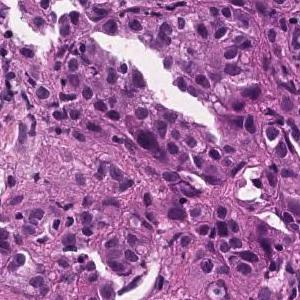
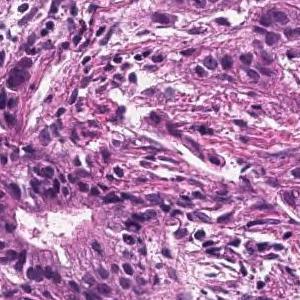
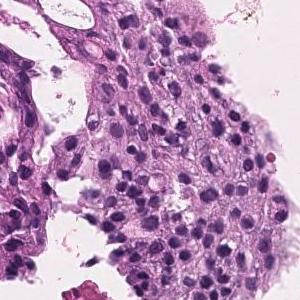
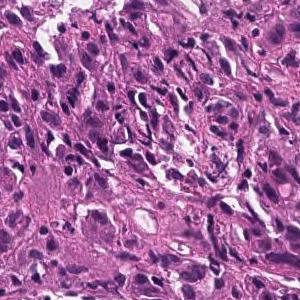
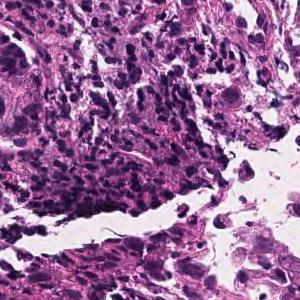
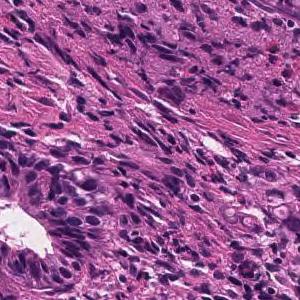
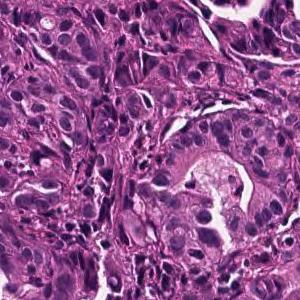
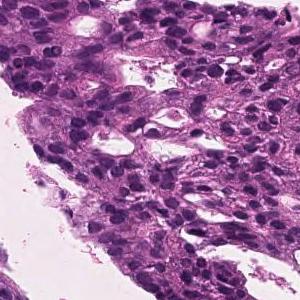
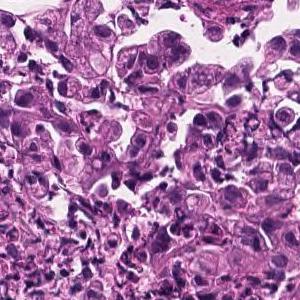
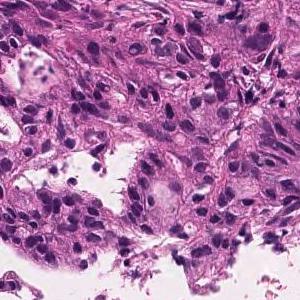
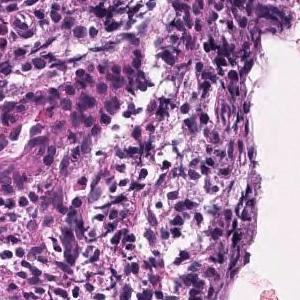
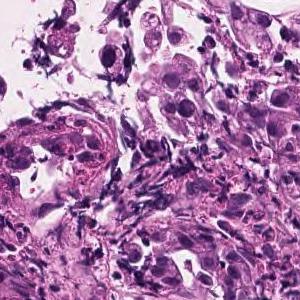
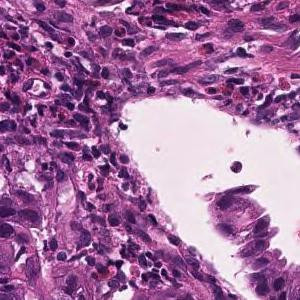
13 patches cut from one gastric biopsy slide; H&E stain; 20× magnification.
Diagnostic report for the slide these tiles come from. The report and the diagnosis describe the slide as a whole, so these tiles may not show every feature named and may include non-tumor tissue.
Tumor tissue consisting of medium-sized, cord-like or irregular glandular infiltration is observed in the superficial epithelium. Poorly differentiated adenocarcinoma, non-solid type or moderately differentiated tubular adenocarcinoma
The term "non-solid type" comes from the Japanese Classification of Gastric Carcinoma.
